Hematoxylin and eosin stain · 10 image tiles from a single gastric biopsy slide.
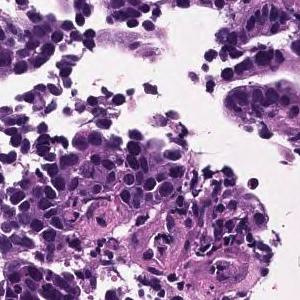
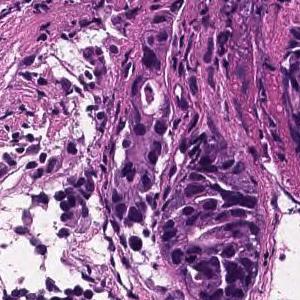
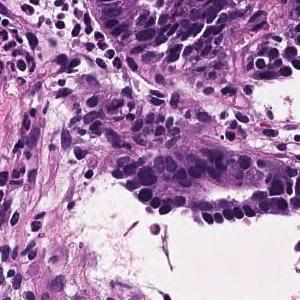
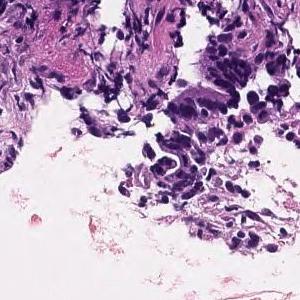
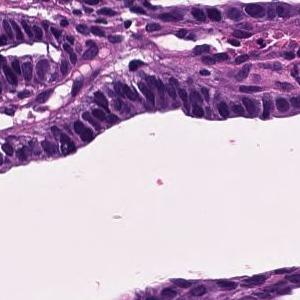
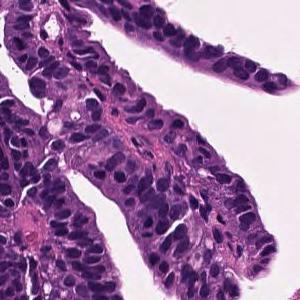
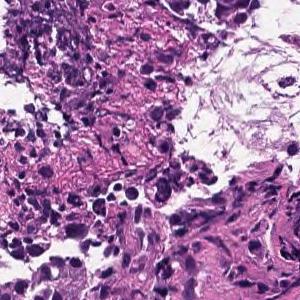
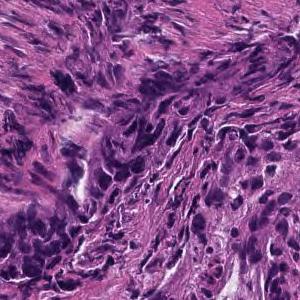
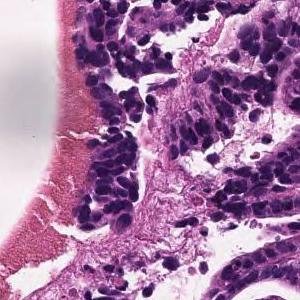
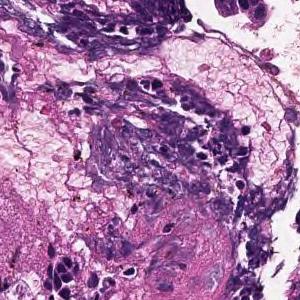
Pathology report for the biopsy slide these tiles were cut from. The report and the diagnosis describe the slide as a whole, so these tiles may not show every feature named and may include non-tumor tissue.
Tumor cells are large, highly columnar, large club-shaped nuclei, and are associated with chromatin aggregation. Papillary adenocarcinoma.
